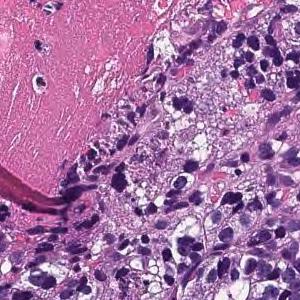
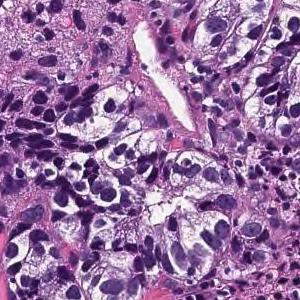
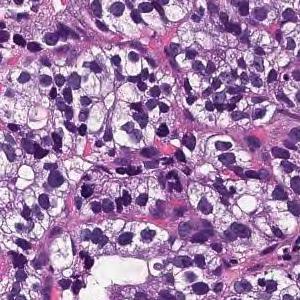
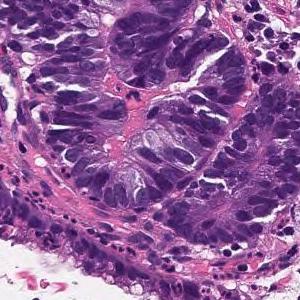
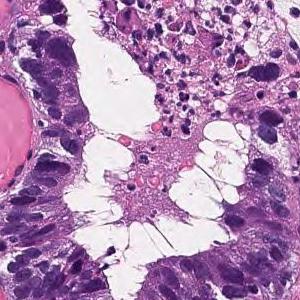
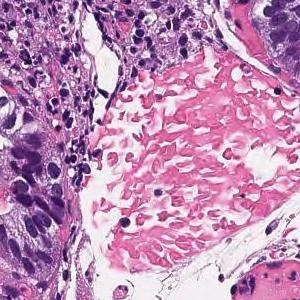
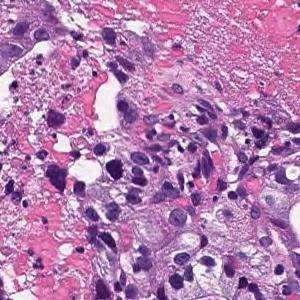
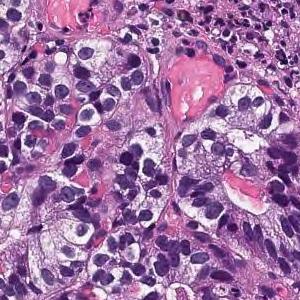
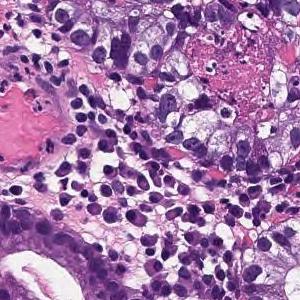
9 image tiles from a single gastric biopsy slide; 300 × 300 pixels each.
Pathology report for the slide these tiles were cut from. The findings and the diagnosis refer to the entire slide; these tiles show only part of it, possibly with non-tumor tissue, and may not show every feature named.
From the superficial epithelium to the muscularis mucosae, tumor tissue consisting of medium-sized and irregular glandular ducts infiltrating is observed. Well differentiated tubular adenocarcinoma
